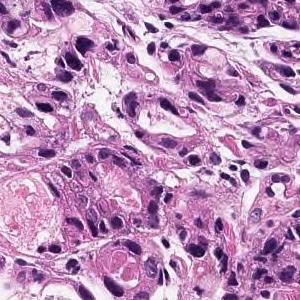
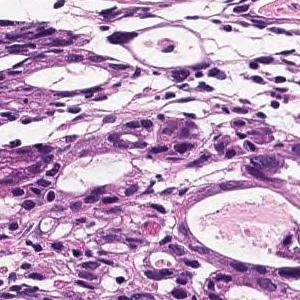
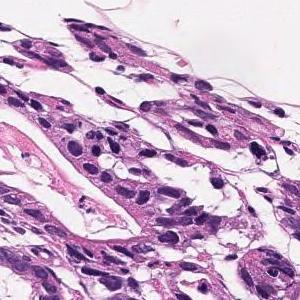
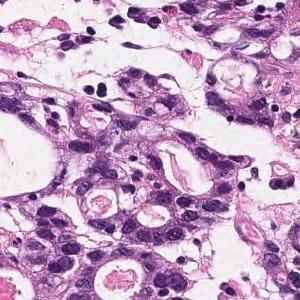
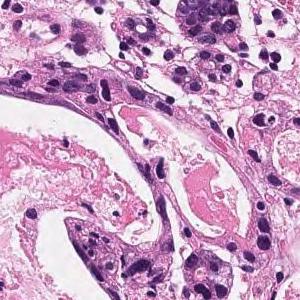
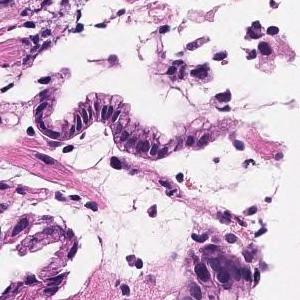
Hematoxylin and eosin stain, 6 image tiles from a single gastric biopsy slide.
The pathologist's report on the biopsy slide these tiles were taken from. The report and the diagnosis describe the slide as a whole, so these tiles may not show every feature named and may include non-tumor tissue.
In the superficial epithelium, tumor tissue that invades by forming medium-sized to small, irregular ducts is observed. Moderately differentiated adenocarcinoma.
Histologic type: Moderately differentiated tubular adenocarcinoma.
